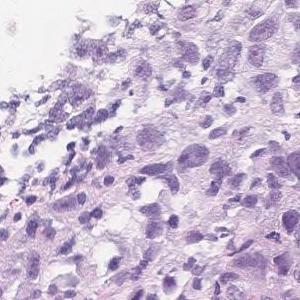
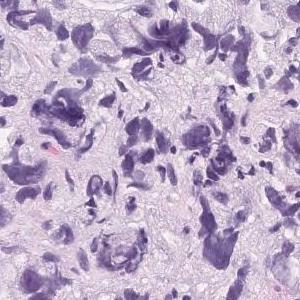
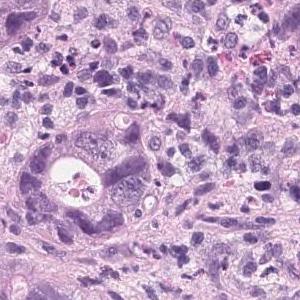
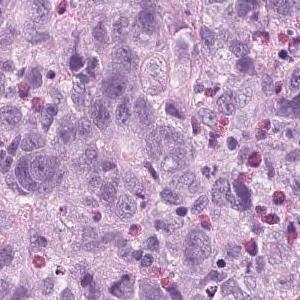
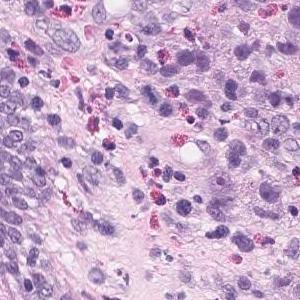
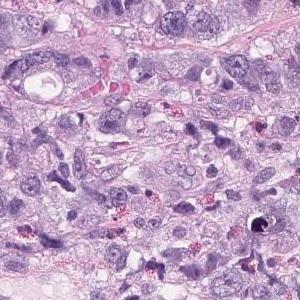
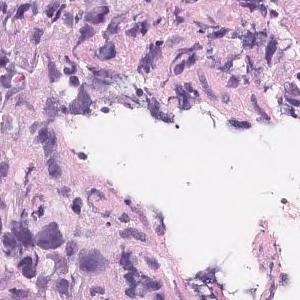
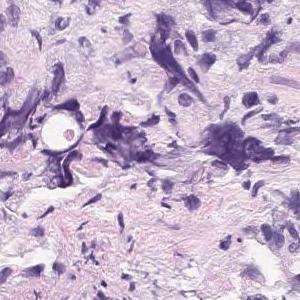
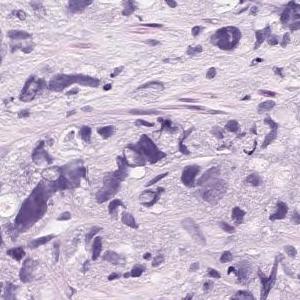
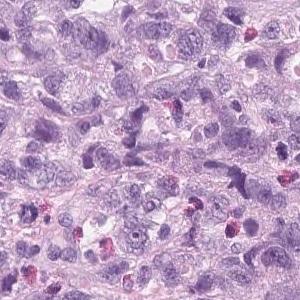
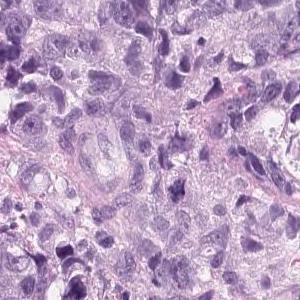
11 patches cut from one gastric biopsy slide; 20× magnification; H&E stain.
Report on the slide these tiles come from. The report describes the whole slide, diagnosis included: not every finding it names need appear in these tiles, which may also show non-tumor tissue.
Tumor tissue that infiltrates and proliferates by forming small glandular cavities in the superficial layer to the submucosa or forming a mass is observed. moderately differentiated tubular adenocarcinoma
